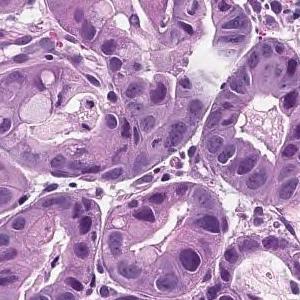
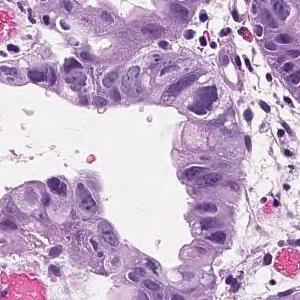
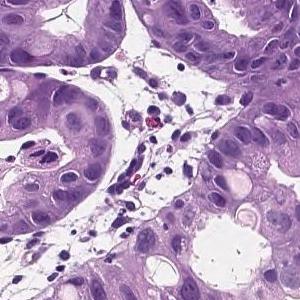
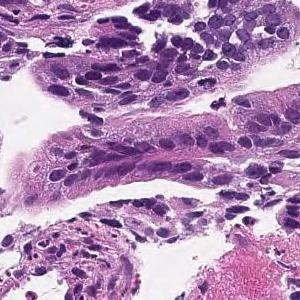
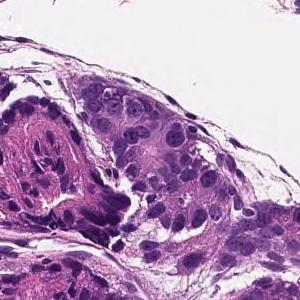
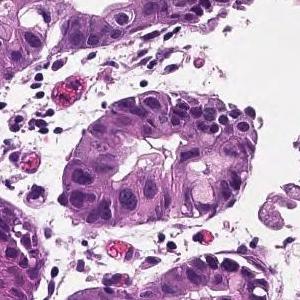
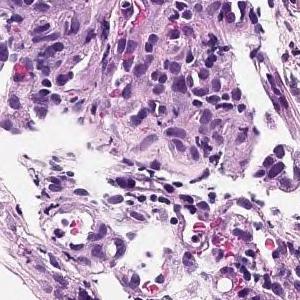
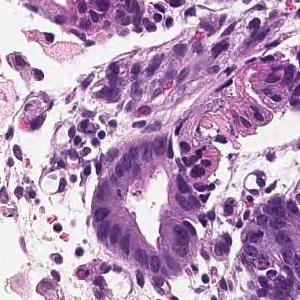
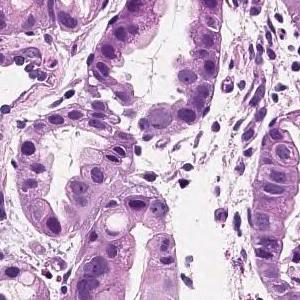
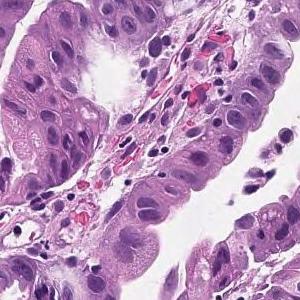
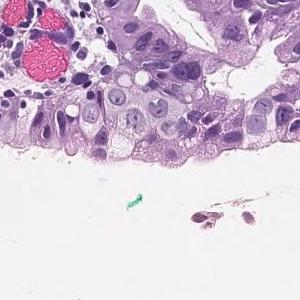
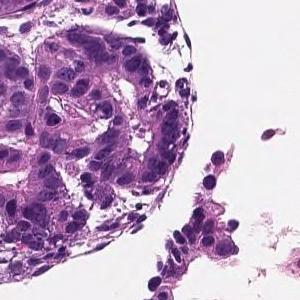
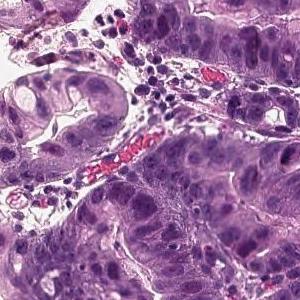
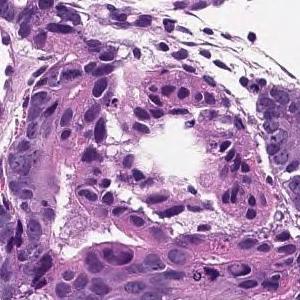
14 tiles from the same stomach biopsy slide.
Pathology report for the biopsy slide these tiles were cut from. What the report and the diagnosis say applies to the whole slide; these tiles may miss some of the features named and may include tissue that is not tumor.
On the superficial epithelium, tumor tissue that infiltrates by forming medium-sized papillary or small irregular ducts is observed. Papillary adenocarcinoma
